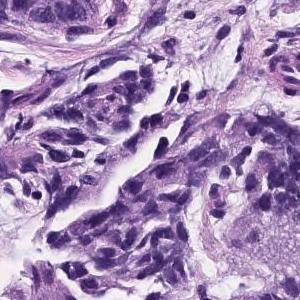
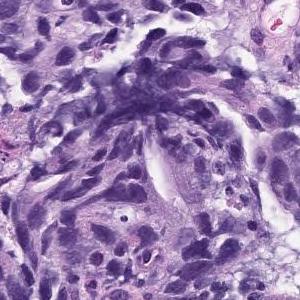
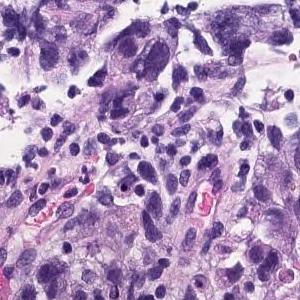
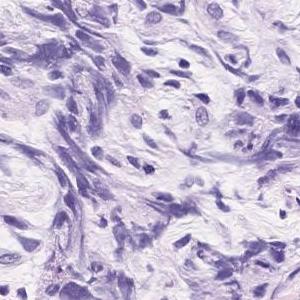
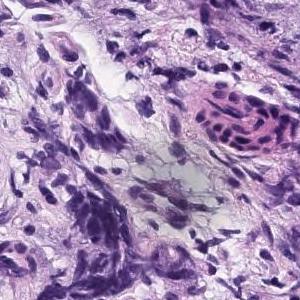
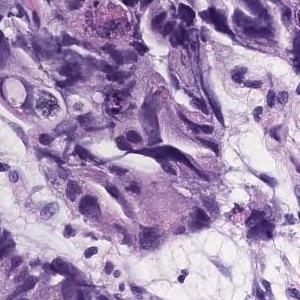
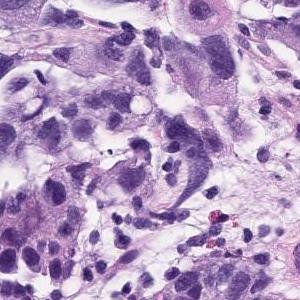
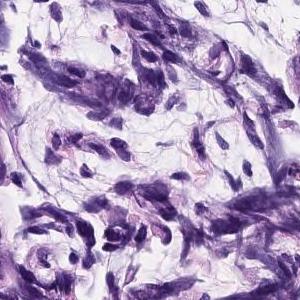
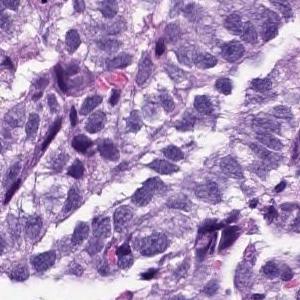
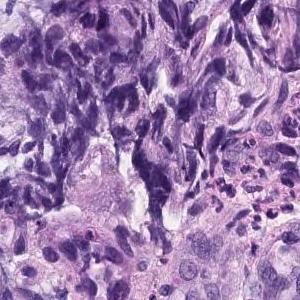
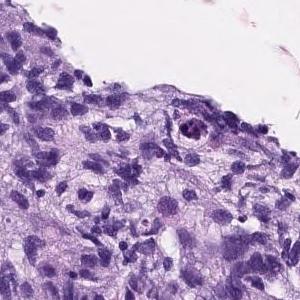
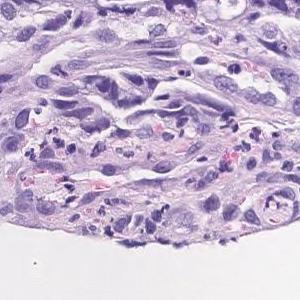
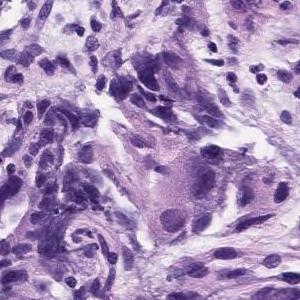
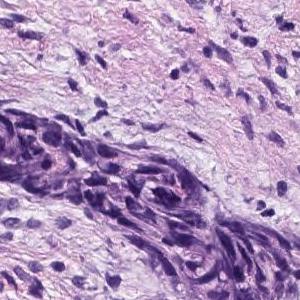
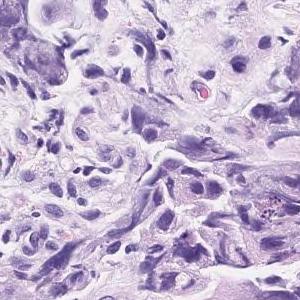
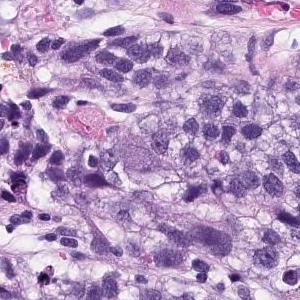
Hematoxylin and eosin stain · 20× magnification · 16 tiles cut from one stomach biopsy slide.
Diagnostic report for the slide these tiles come from. The report and the diagnosis cover the entire slide, so not every feature they name need be visible here, and some tissue shown may not be tumor.
Atypical epithelial cells with an increased N/C ratio proliferate and consist of a part that shows the formation of gland ducts and a part that shows solid growth. Poorly differentiated adenocarcinoma, solid-type
Tumor subtype: poorly differentiated adenocarcinoma, solid type (Japanese Classification of Gastric Carcinoma). The WHO 2019 equivalent is tubular adenocarcinoma, poorly differentiated.
